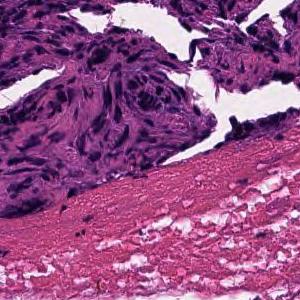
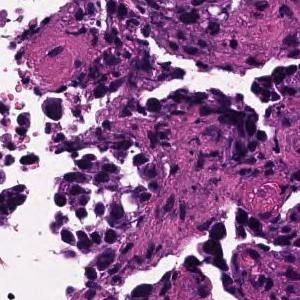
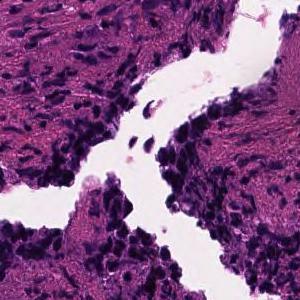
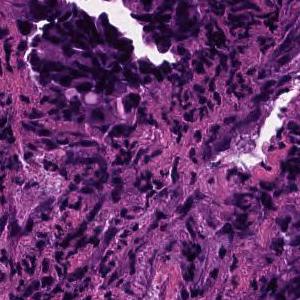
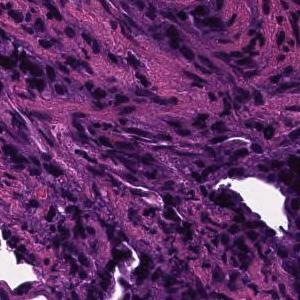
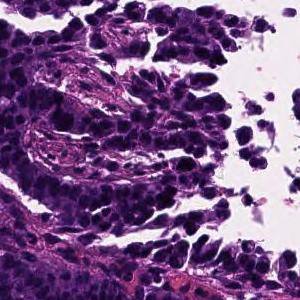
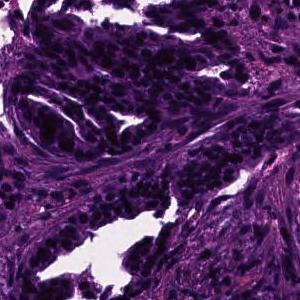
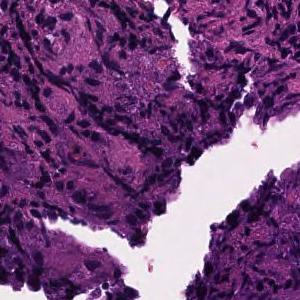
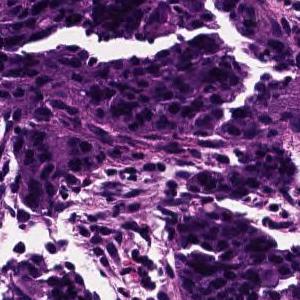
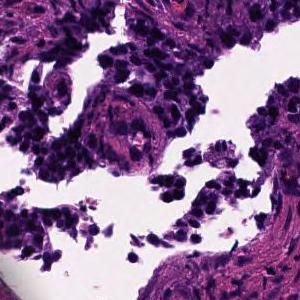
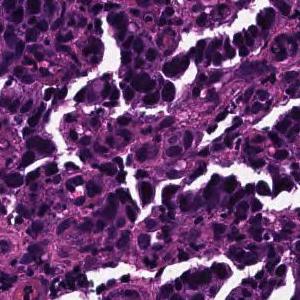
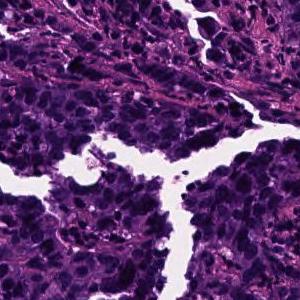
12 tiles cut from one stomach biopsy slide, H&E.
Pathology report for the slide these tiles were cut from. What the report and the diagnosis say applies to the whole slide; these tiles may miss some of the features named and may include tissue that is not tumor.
In the superficial epithelium, tumor tissue that invades by forming medium-sized to small, irregular ducts is observed. moderately differentiated tubular adenocarcinoma.
